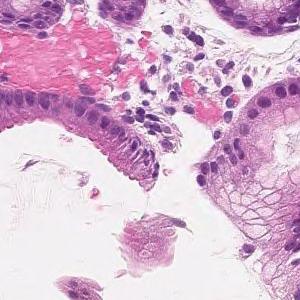
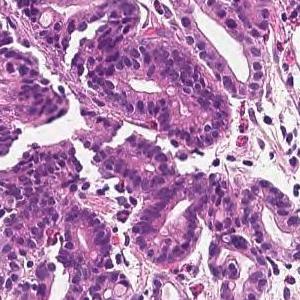
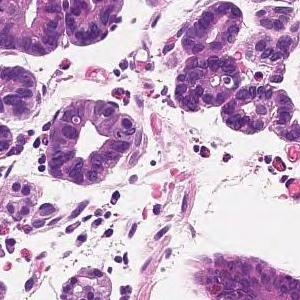
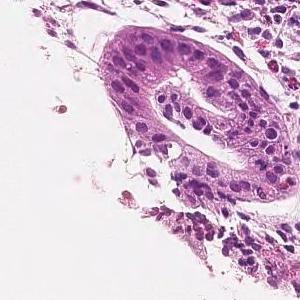
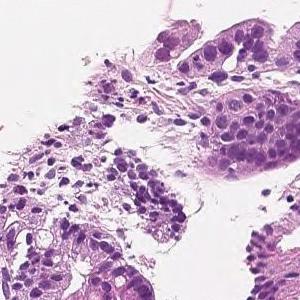
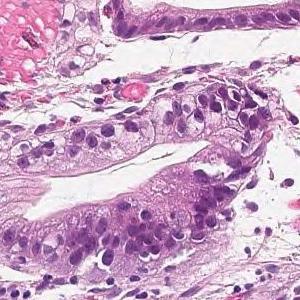
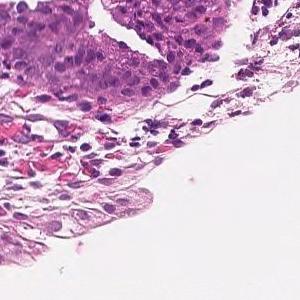
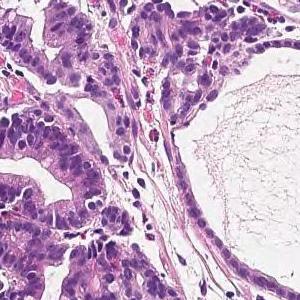
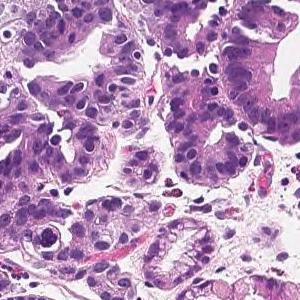
9 patches cut from one gastric biopsy slide, 300×300 px each, H&E stain.
Pathology report for the slide these tiles were cut from. The findings and the diagnosis refer to the entire slide; these tiles show only part of it, possibly with non-tumor tissue, and may not show every feature named.
From the superficial epithelium to the muscularis mucosae, tumor tissue consisting of medium-sized and irregular glandular ducts infiltrating is observed. Well differentiated tubular adenocarcinoma
